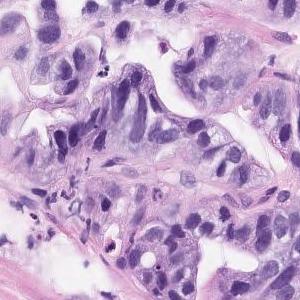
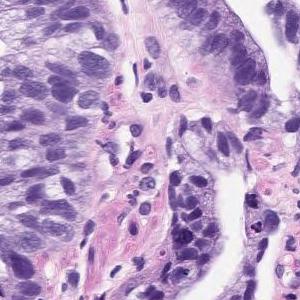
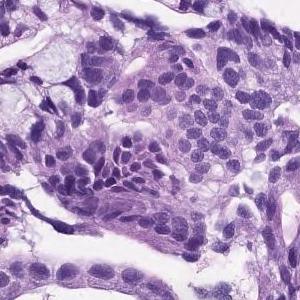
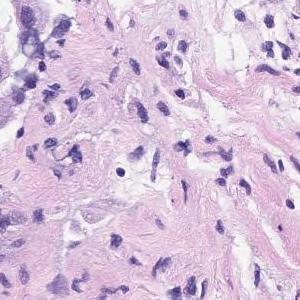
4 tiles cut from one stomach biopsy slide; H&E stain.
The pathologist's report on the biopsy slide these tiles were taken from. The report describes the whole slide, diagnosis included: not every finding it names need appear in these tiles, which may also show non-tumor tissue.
The superficial tumors shows large papillary structures or large and small ducts and infiltrates. Papillary adenocarcinoma.
